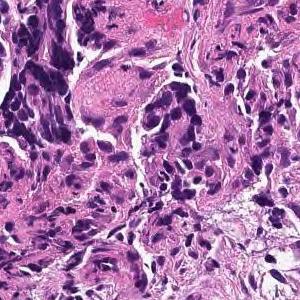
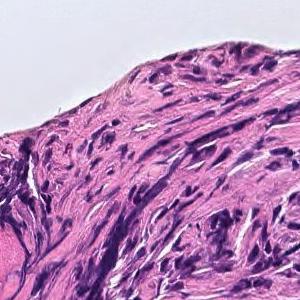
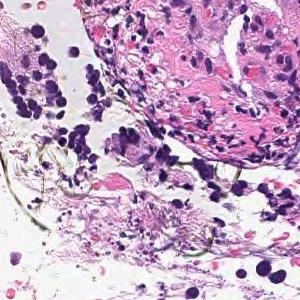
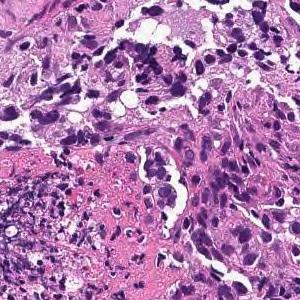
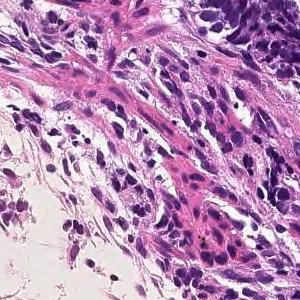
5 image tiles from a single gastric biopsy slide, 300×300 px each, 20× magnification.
The pathologist's report on the biopsy slide these tiles were taken from. The report and the diagnosis cover the entire slide, so not every feature they name need be visible here, and some tissue shown may not be tumor.
Tumor tissue consisting of medium-sized, cord-like or irregular glandular infiltration is observed in the superficial epithelium. Poorly differentiated adenocarcinoma, non-solid type or moderately differentiated tubular adenocarcinoma
Histological subtype: Moderately to poorly differentiated adenocarcinoma.
The term "non-solid type" comes from the Japanese Classification of Gastric Carcinoma.
